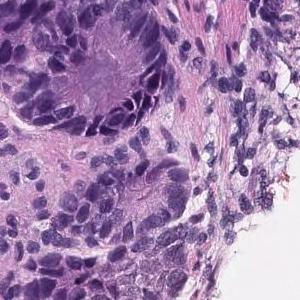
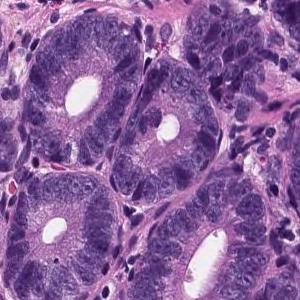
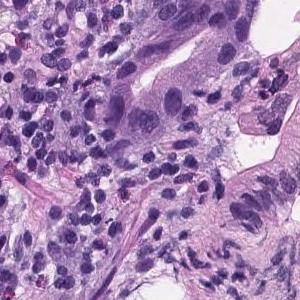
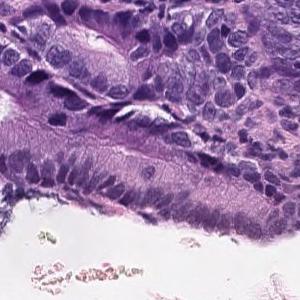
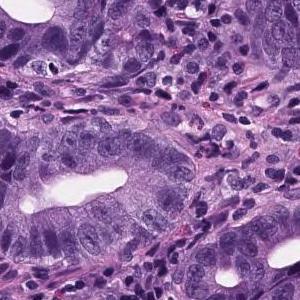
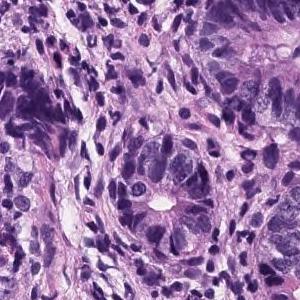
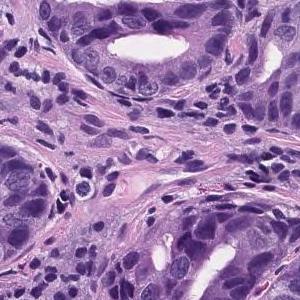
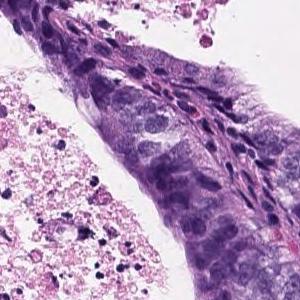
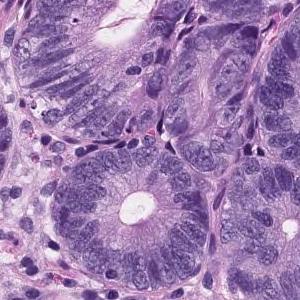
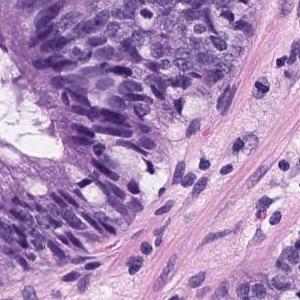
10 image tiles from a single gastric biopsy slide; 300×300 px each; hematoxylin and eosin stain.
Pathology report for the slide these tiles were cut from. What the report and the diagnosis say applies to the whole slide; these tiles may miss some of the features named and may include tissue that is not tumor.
Tumor tissue consisting of medium-sized and irregular ducts is observed infiltrating in the superficial epithelium. Tumor cells are highly columnar, with nuclei aligned basolaterally and polarized. Well differentiated tubular adenocarcinoma.
